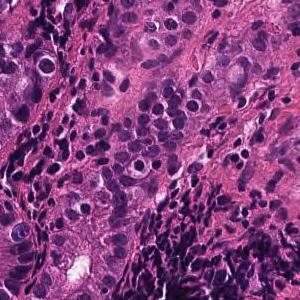
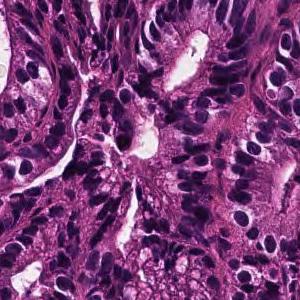
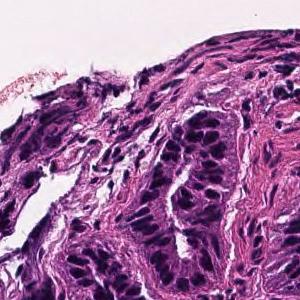
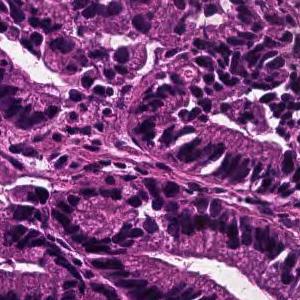
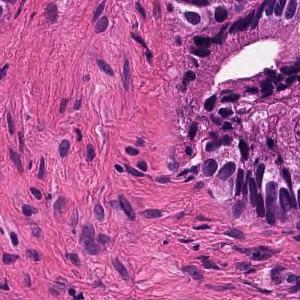
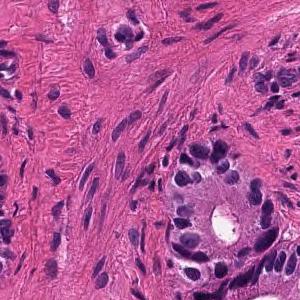
20× magnification, 6 patches cut from one gastric biopsy slide, 300×300 px each.
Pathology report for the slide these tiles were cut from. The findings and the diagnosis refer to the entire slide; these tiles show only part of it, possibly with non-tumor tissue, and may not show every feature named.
In the superficial epithelium, tumor tissue that invades by forming medium-sized to small, irregular ducts is observed. Well differentiated tubular adenocarcinoma.
